H&E stain; ×20; 9 patches cut from one gastric biopsy slide; each 300 × 300 pixels.
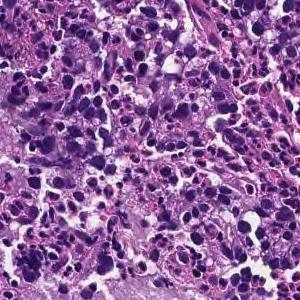
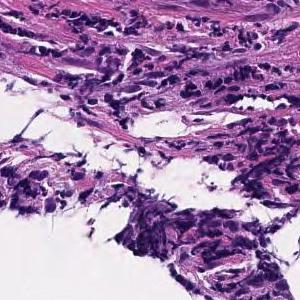
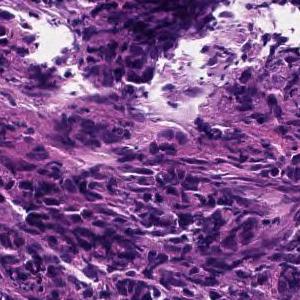
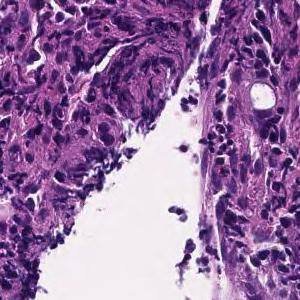
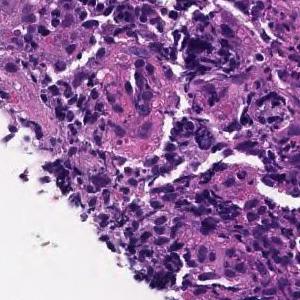
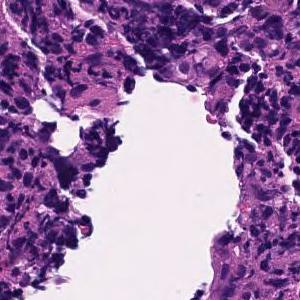
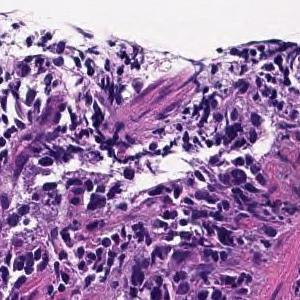
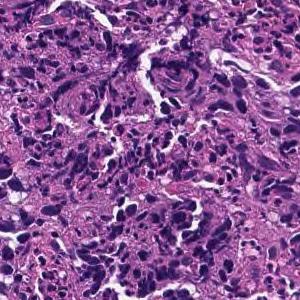
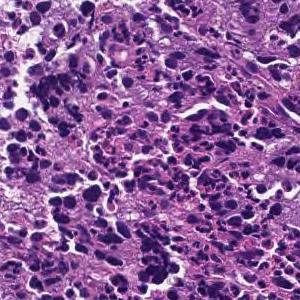
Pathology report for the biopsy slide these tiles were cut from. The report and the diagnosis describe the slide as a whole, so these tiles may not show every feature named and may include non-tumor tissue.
Tumor tissue consisting of cord-like or small, irregular glandular ducts fused and infiltrated is observed in the superficial epithelium. Poorly differentiated adenocarcinoma, non-solid type
The term "non-solid type" comes from the Japanese Classification of Gastric Carcinoma.
